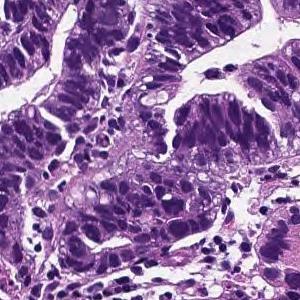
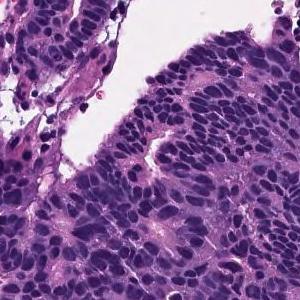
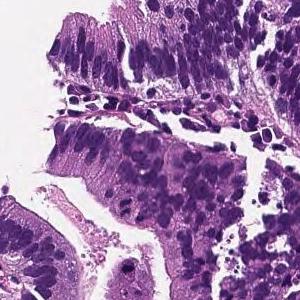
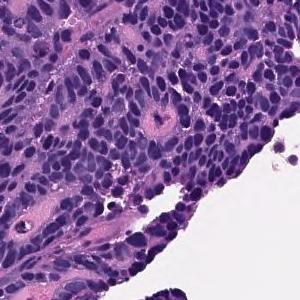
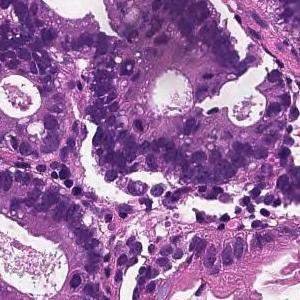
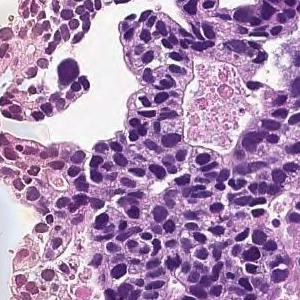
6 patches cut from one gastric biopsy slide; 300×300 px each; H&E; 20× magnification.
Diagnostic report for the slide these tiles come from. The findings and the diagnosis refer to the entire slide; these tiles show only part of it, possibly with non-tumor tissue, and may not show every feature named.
In the superficial epithelium, tumor tissue that invades by forming medium-sized to small, irregular ducts is observed. moderately differentiated tubular adenocarcinoma.
